20× magnification · hematoxylin and eosin stain · 14 tiles cut from one stomach biopsy slide · each 300 × 300 pixels.
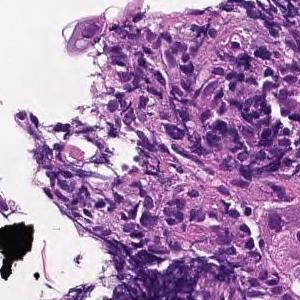
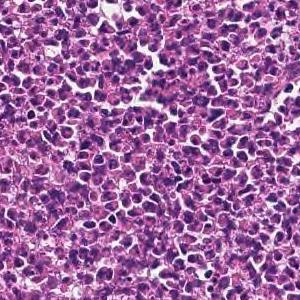
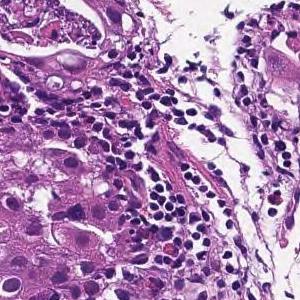
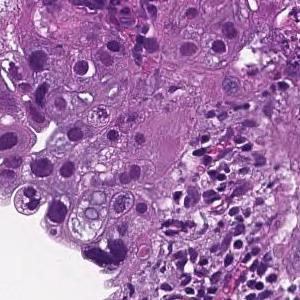
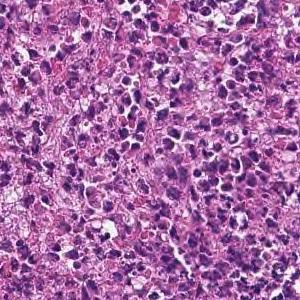
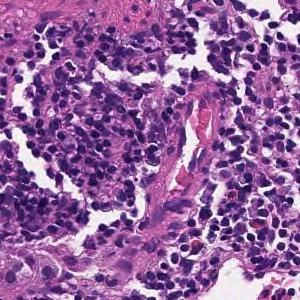
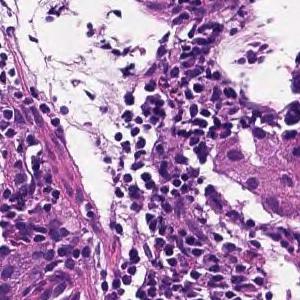
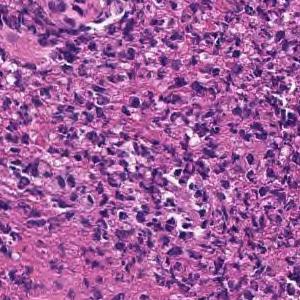
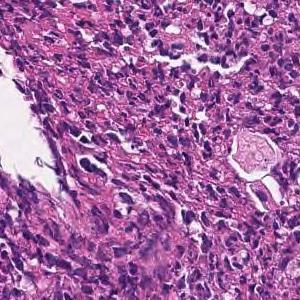
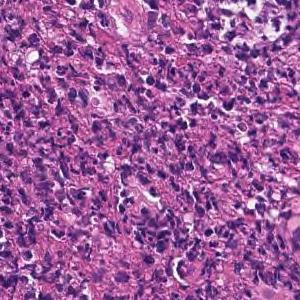
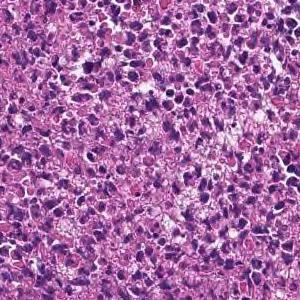
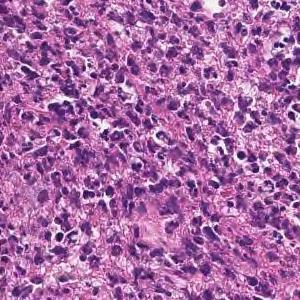
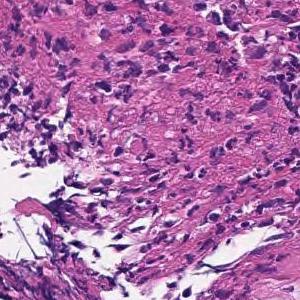
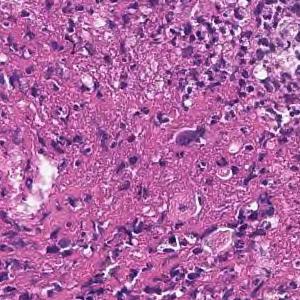
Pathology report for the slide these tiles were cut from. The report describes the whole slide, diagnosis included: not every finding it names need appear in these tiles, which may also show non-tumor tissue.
In the superficial epithelium, tumor tissue infiltrated by partial fusion of medium-sized to small, irregular glandular ducts is observed. moderately differentiated tubular adenocarcinoma
